15 image tiles from a single gastric biopsy slide; 300×300 px each; scanned at ×20; H&E stain.
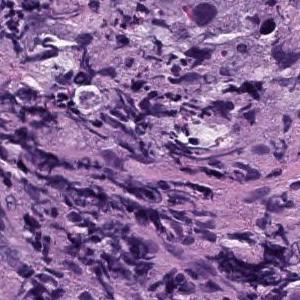
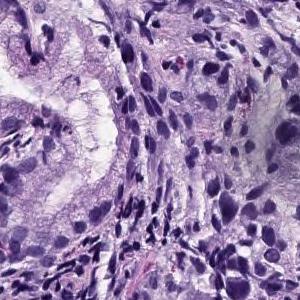
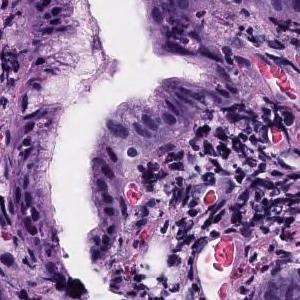
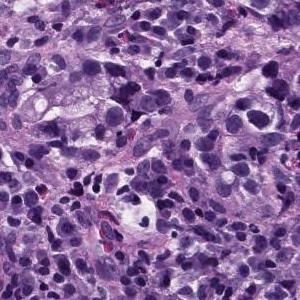
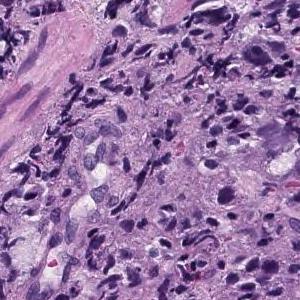
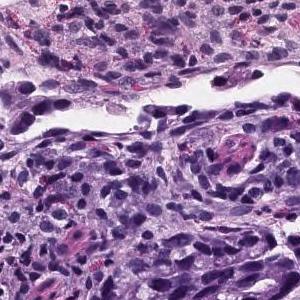
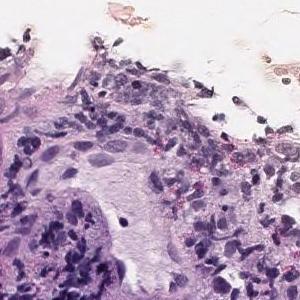
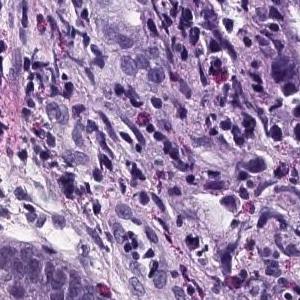
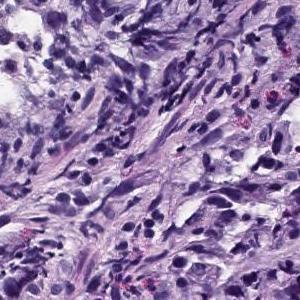
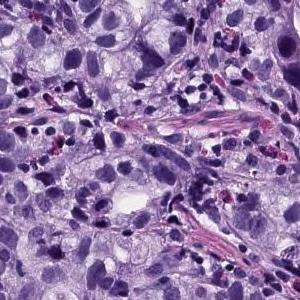
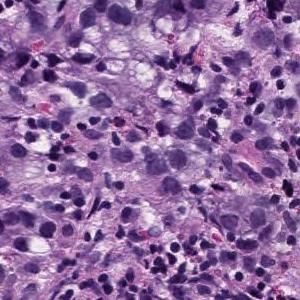
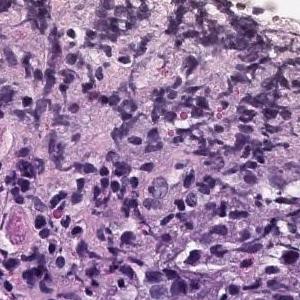
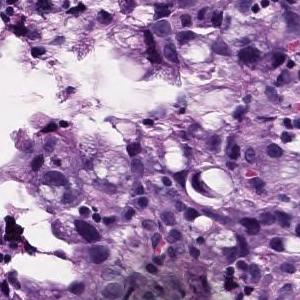
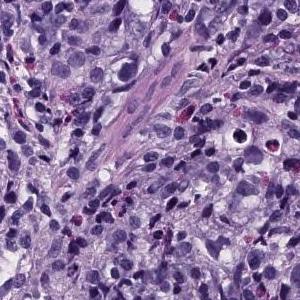
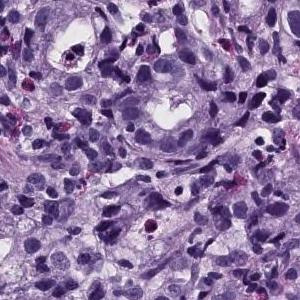
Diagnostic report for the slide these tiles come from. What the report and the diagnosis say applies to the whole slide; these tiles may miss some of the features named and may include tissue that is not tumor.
Atypical epithelial cells infiltrating and proliferating while forming solid or cord-like fused glandular cavities of different sizes is observed. moderately differentiated tubular adenocarcinoma, poorly differentiated adenocarcinoma.
Subtype: Moderately to poorly differentiated adenocarcinoma.
